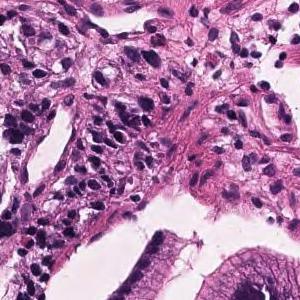
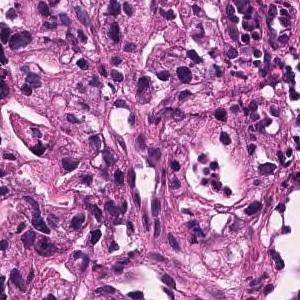
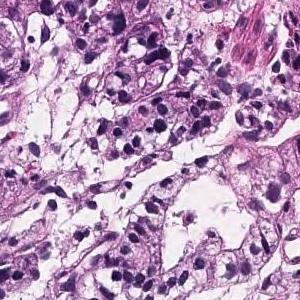
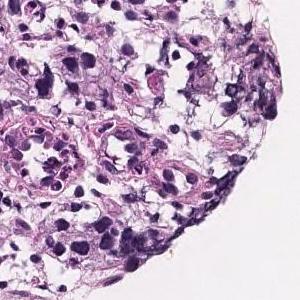
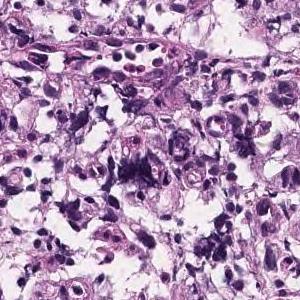
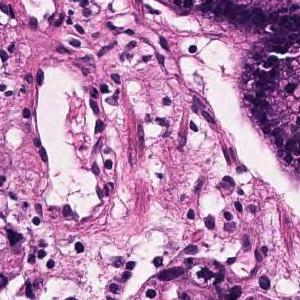
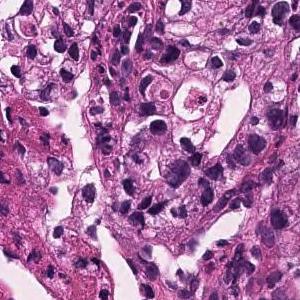
7 image tiles from a single gastric biopsy slide · H&E · 20× magnification.
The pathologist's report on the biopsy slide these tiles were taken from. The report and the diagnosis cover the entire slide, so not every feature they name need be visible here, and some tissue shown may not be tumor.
Medium to small, irregular glandular ducts are formed in the superficial epithelium, and in some cases, the glandular ducts are fused to show solid alveolar lesions and infiltrating tumor tissue is observed. Moderately to poorly differentiated adenocarcinoma.
